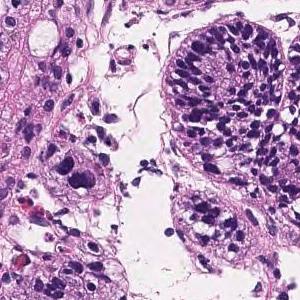
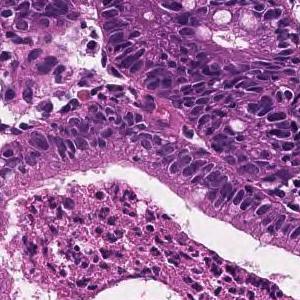
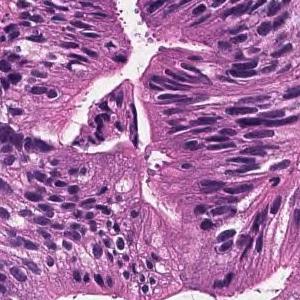
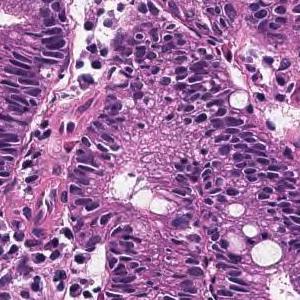
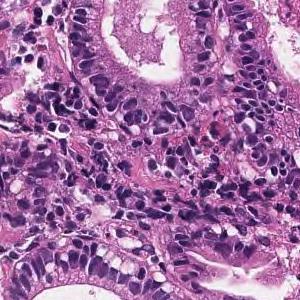
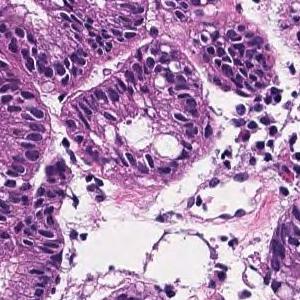
20× magnification, 6 tiles from the same stomach biopsy slide, each 300 × 300 pixels.
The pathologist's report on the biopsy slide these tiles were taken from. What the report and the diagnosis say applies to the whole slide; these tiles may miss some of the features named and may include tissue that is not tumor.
Most remain in the superficial epithelium, forming medium-sized papillary or small irregular ducts and proliferating, and some tumor tissue invades the muscularis mucosae. Papillary adenocarcinoma
